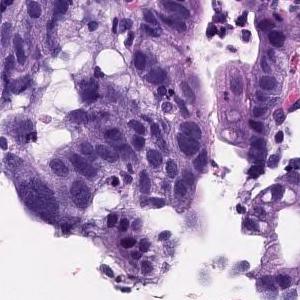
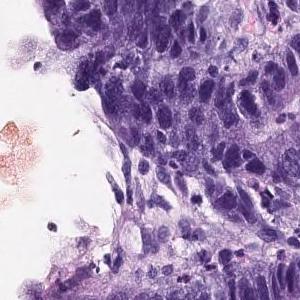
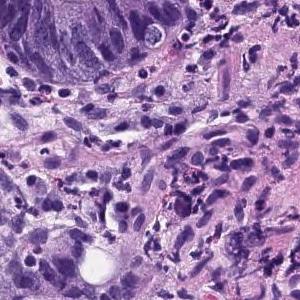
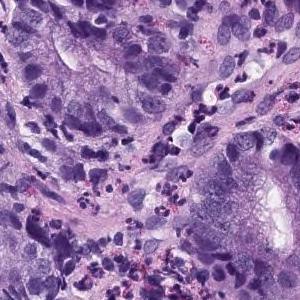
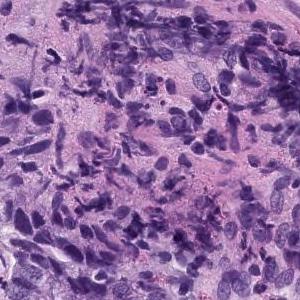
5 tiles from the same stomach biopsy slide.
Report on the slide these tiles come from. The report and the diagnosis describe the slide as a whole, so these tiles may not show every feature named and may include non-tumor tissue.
Tumor tissue consisting of large papillary structures is found in the superficial epithelium. Papillary adenocarcinoma.
